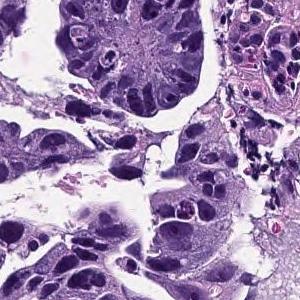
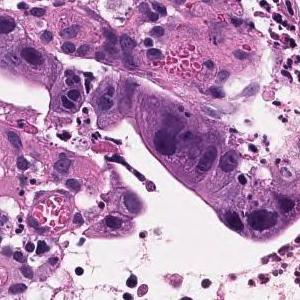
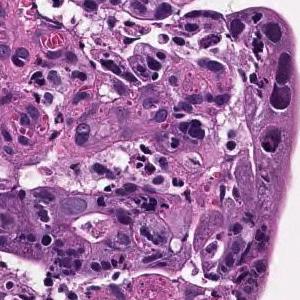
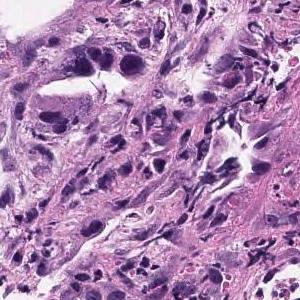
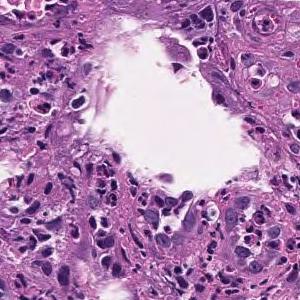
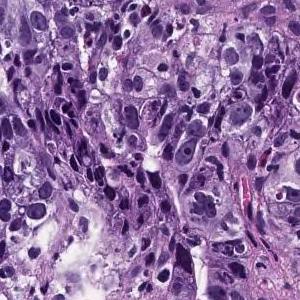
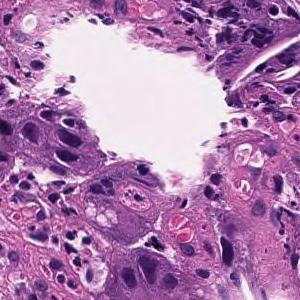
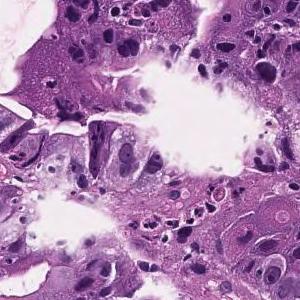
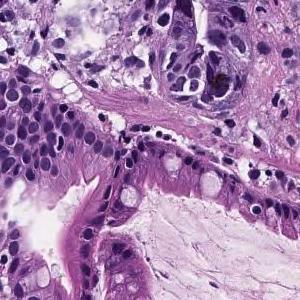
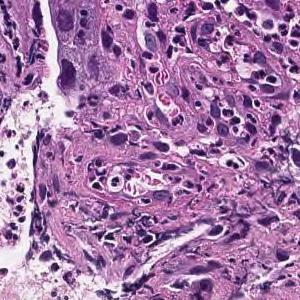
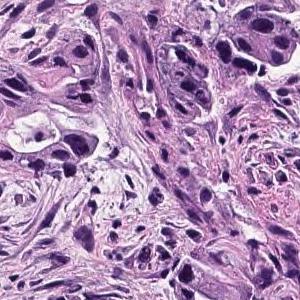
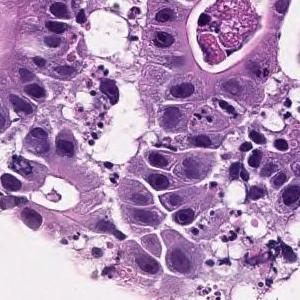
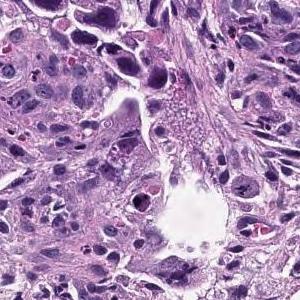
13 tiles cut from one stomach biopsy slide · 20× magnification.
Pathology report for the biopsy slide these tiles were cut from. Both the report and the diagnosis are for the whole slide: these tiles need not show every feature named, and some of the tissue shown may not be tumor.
In the superficial epithelium, medium to small irregular gland ducts are formed, and in some cases, the ducts are fused to show solid alveolar lesions and infiltrating tumor tissue is observed. Moderately to poorly differentiated adenocarcinoma
